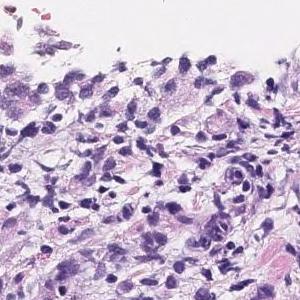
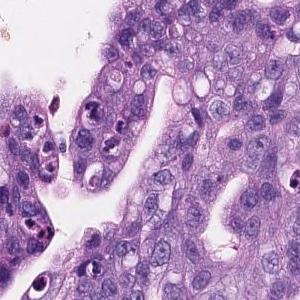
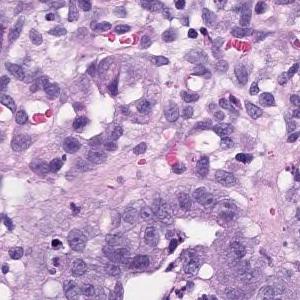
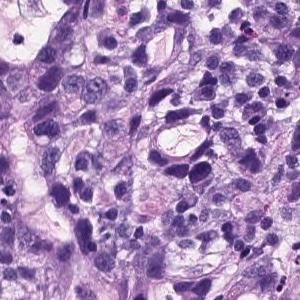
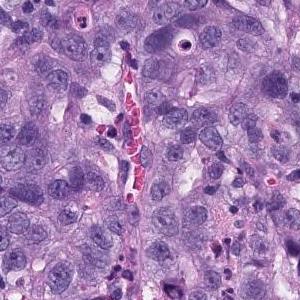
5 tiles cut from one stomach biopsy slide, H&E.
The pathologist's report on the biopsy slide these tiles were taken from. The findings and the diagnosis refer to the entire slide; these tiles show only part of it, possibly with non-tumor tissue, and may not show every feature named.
There are atypical l cells with atypical nuclei forming cord-like or irregular atypical ducts from solidity and proliferating in a comprehensive manner. Poorly differentiated adenocarcinoma, Moderately differentiated adenocarcinoma (poorly differentiated adenocarcinoma, solid type moderately differentiated tubular adenocarcinoma)
Classified as moderately to poorly differentiated adenocarcinoma.
The solid type named here is a Japanese Classification of Gastric Carcinoma category; WHO 2019 calls it tubular adenocarcinoma, poorly differentiated.
